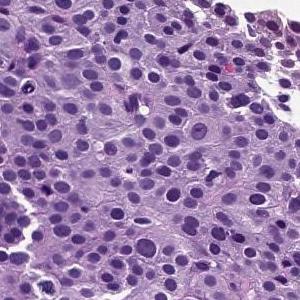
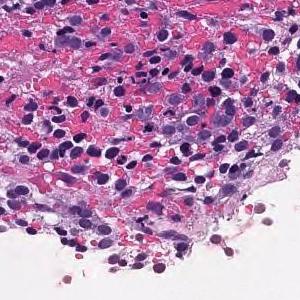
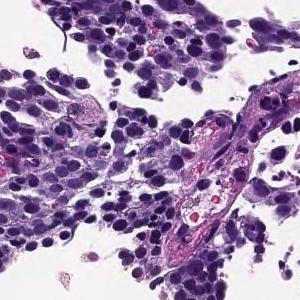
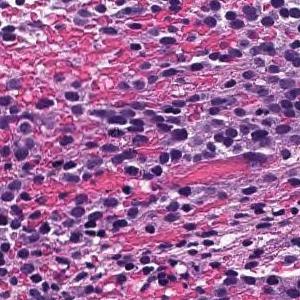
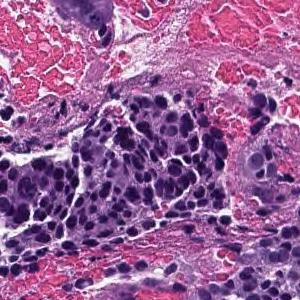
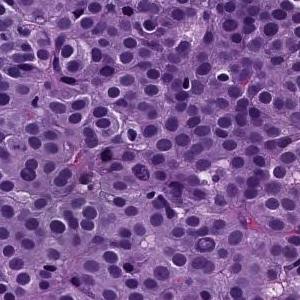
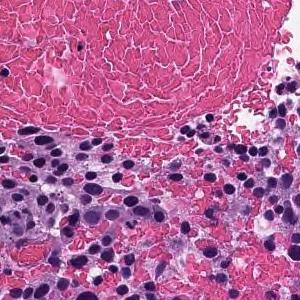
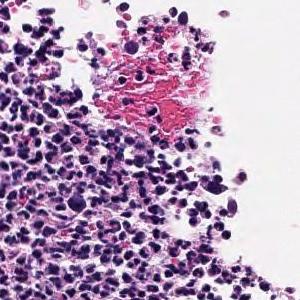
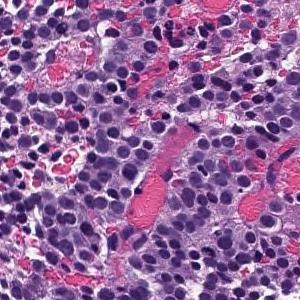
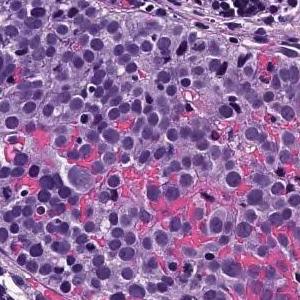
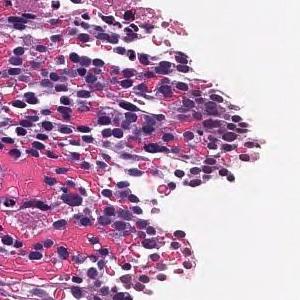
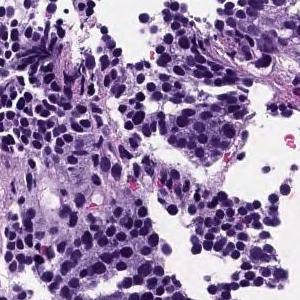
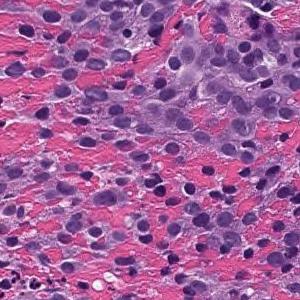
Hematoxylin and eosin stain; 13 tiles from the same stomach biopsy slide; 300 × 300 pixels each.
Pathology report for the slide these tiles were cut from. The report and the diagnosis describe the slide as a whole, so these tiles may not show every feature named and may include non-tumor tissue.
The superficial epithelium shows a large sheet-like shape, and some tumor tissue infiltrates with small irregular ducts. Poorly differentiated adenocarcinoma, solid-type
Classified as poorly differentiated adenocarcinoma, solid type. This name comes from the Japanese Classification of Gastric Carcinoma; the WHO 2019 classification calls it tubular adenocarcinoma, poorly differentiated.
